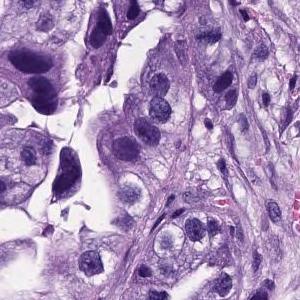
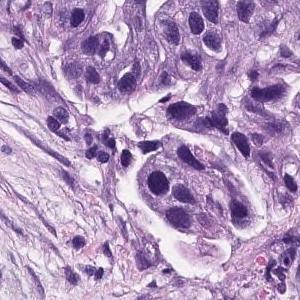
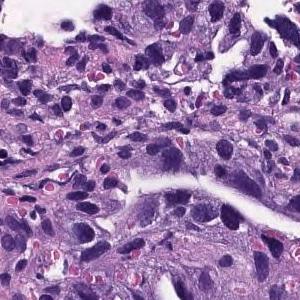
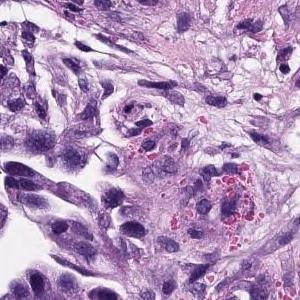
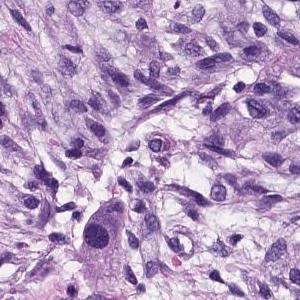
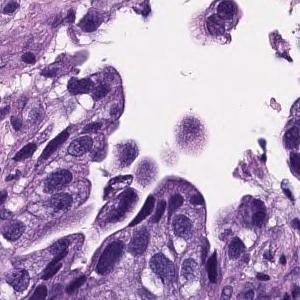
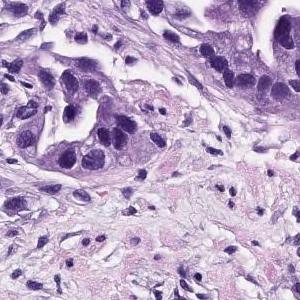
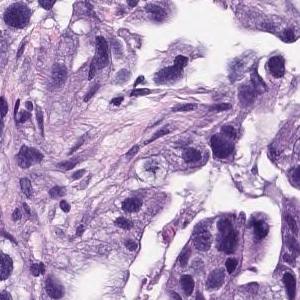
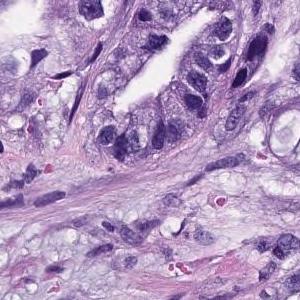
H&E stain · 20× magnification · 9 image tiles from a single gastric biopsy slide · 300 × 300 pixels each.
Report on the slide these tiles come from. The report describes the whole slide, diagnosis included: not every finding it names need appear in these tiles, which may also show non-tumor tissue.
gastric mucosal tissue with atypical glandular proliferation arranged in tubules and acini. The tumor cells showed hyperchromatic nuclei, high N/C ratio and loss of polarity. Tubular adenocarcinoma of stomach, moderately differentiated.
Subtype: Moderately differentiated tubular adenocarcinoma.
